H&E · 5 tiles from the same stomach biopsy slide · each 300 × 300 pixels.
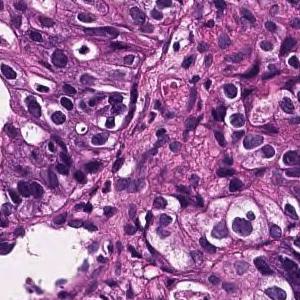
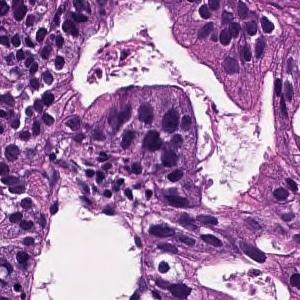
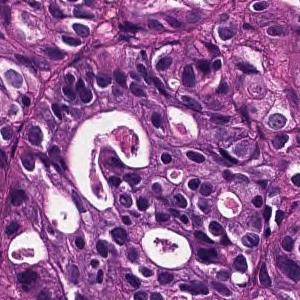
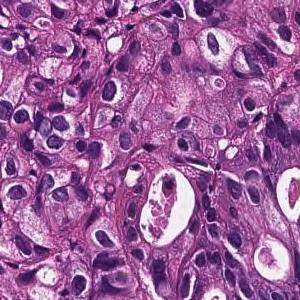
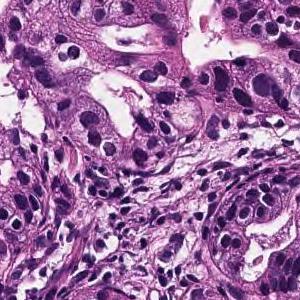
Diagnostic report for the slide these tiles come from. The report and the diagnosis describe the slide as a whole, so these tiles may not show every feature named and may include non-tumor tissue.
From the superficial epithelium to the muscularis mucosae, tumor tissue infiltrating by forming medium-sized irregular gland ducts is observed. Large tumor cells exhibit large nucleus and hyperchromatism. Well differentiated tubular adenocarcinoma
